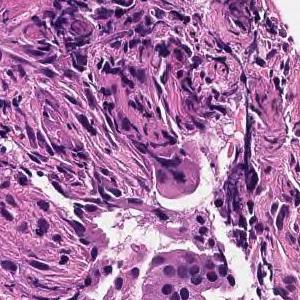
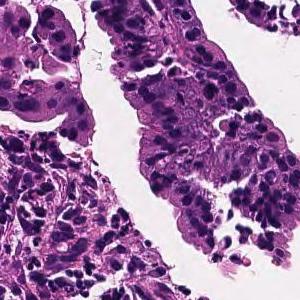
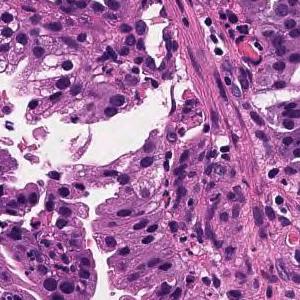
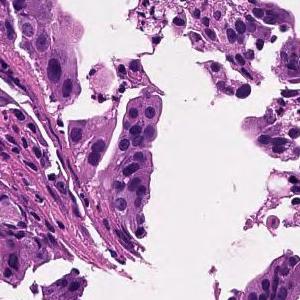
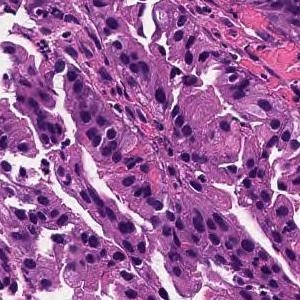
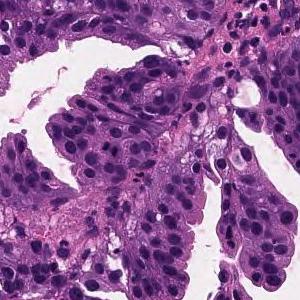
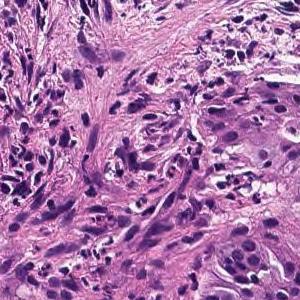
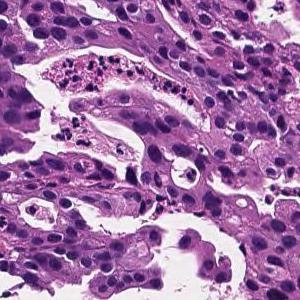
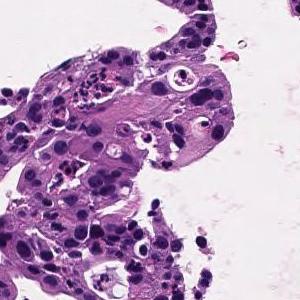
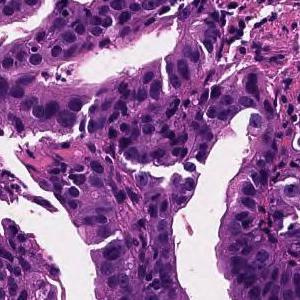
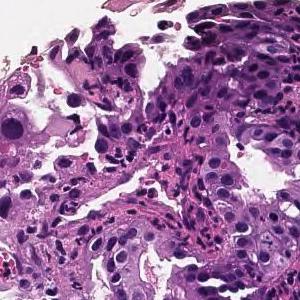
H&E; ×20; 11 patches cut from one gastric biopsy slide; 300×300 px each.
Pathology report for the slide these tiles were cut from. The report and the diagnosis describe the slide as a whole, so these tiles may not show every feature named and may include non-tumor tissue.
On the superficial epithelium, tumor tissue consisting of large, irregular glandular ducts partially fused and infiltrated is observed. Well to moderately differentiated tubular adenocarcinoma (well differentiated tubular adenocarcinoma, moderately differentiated tubular adenocarcinoma)
Classified as well to moderately differentiated tubular adenocarcinoma.
